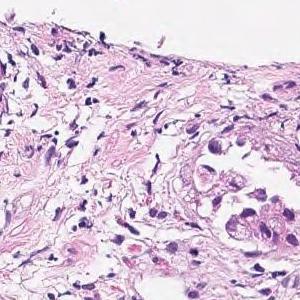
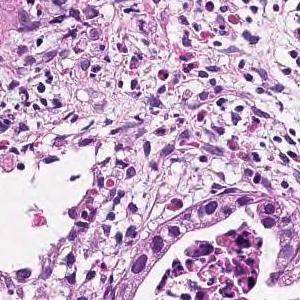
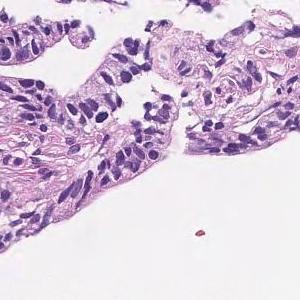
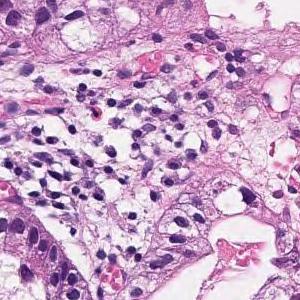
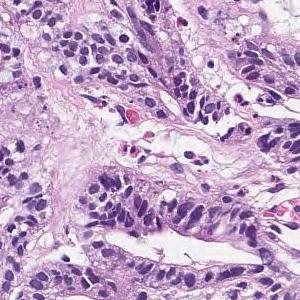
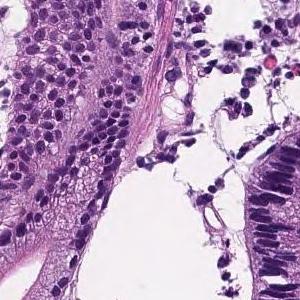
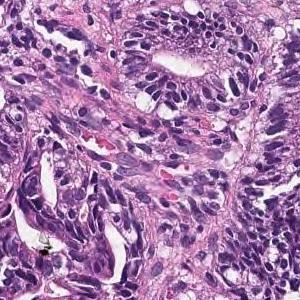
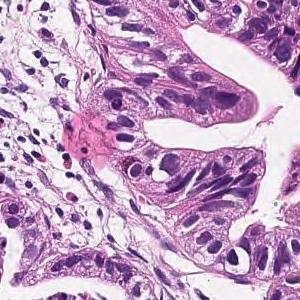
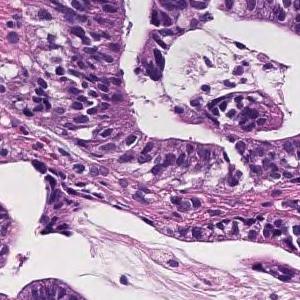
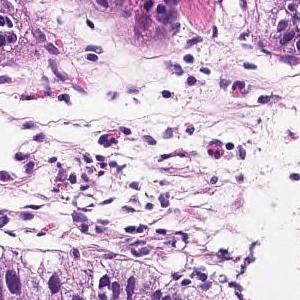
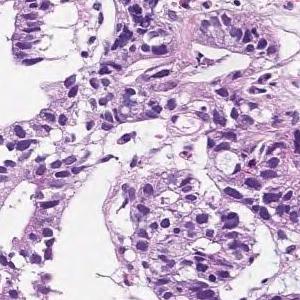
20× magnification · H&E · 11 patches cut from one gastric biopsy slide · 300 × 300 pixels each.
Diagnostic report for the slide these tiles come from. Both the report and the diagnosis are for the whole slide: these tiles need not show every feature named, and some of the tissue shown may not be tumor.
In the superficial epithelium, tumor tissue that invades by forming medium-sized to small, irregular ducts is observed. Moderately differentiated adenocarcinoma.
Histological subtype: Moderately differentiated tubular adenocarcinoma.
